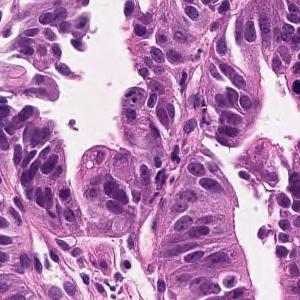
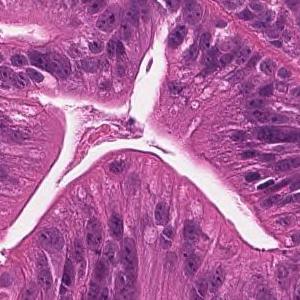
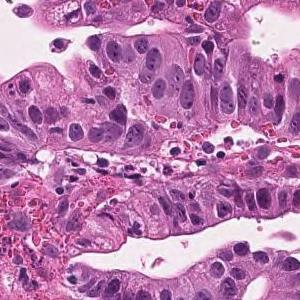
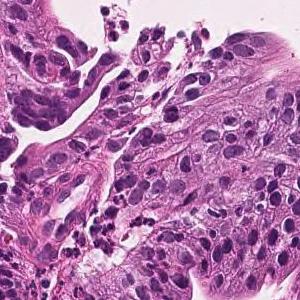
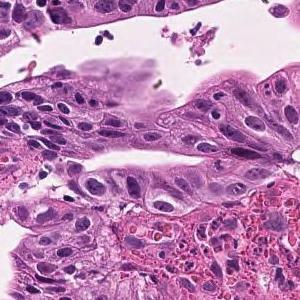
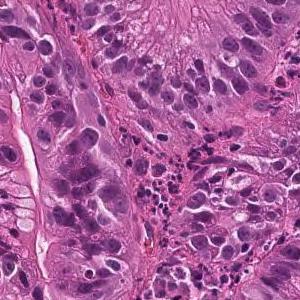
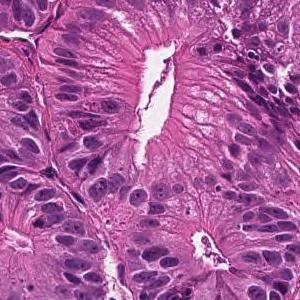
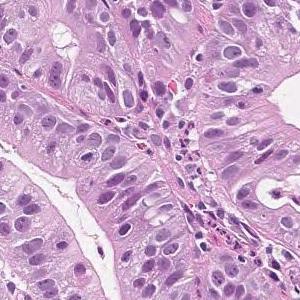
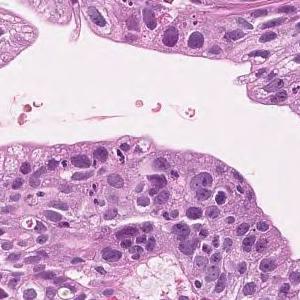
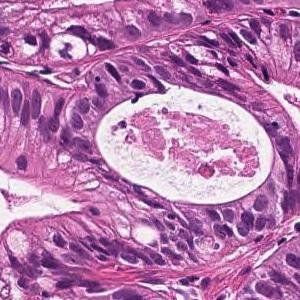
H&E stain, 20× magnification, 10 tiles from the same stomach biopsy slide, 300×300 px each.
Diagnostic report for the slide these tiles come from. What the report and the diagnosis say applies to the whole slide; these tiles may miss some of the features named and may include tissue that is not tumor.
Tumor cells are large, highly columnar, large club-shaped nuclei, and are associated with chromatin aggregation. Papillary adenocarcinoma.
